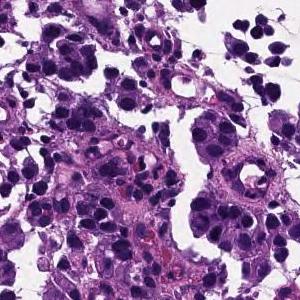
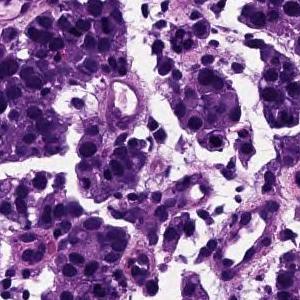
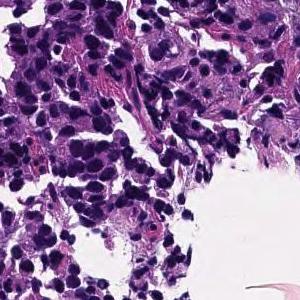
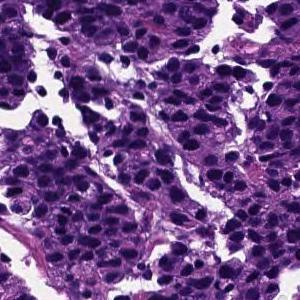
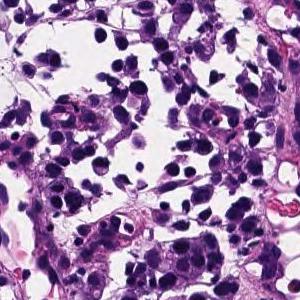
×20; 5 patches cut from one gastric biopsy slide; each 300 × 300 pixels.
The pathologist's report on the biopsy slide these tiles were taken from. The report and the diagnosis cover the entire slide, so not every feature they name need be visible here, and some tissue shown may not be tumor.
The superficial epithelium shows a large alveolar shape and infiltrates tumor tissue. Poorly differentiated adenocarcinoma, solid-type
Tumor subtype: poorly differentiated adenocarcinoma, solid type. This name comes from the Japanese Classification of Gastric Carcinoma; the WHO 2019 classification calls it tubular adenocarcinoma, poorly differentiated.
